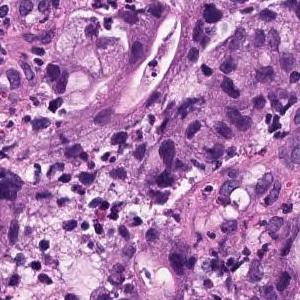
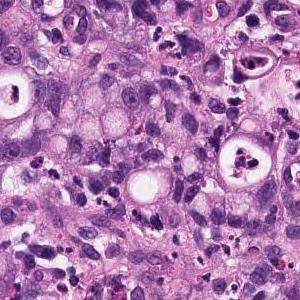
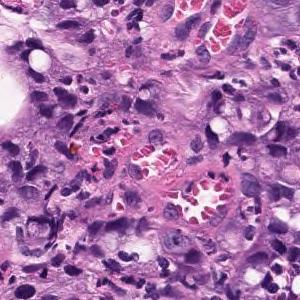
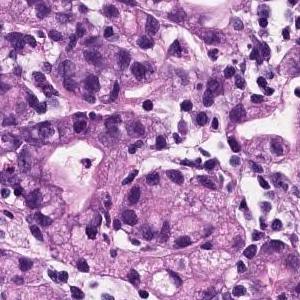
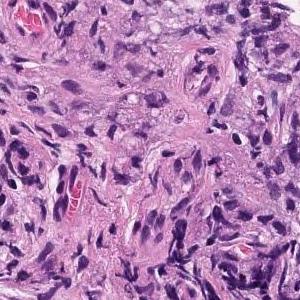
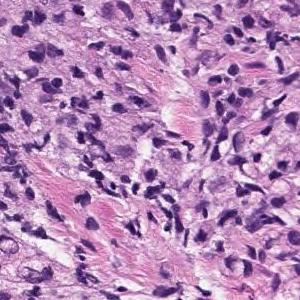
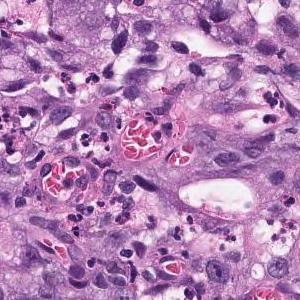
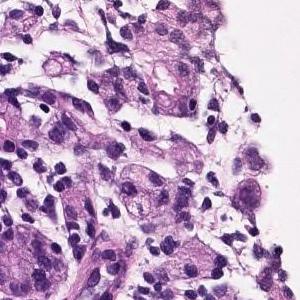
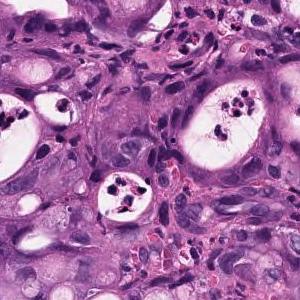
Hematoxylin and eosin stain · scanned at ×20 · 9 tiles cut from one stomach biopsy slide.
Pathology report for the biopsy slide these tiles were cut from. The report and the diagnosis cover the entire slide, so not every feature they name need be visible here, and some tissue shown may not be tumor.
Atypical epithelium forms irregularly fused gland ducts and proliferates. Poorly differentiated adenocarcinoma.
Subtype: Poorly differentiated adenocarcinoma, non-solid type.
The non-solid type named here is a Japanese Classification of Gastric Carcinoma category.
